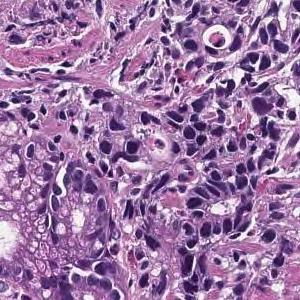
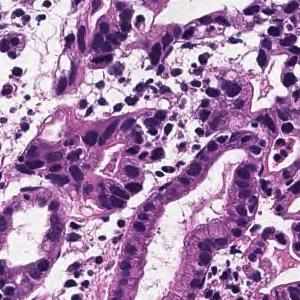
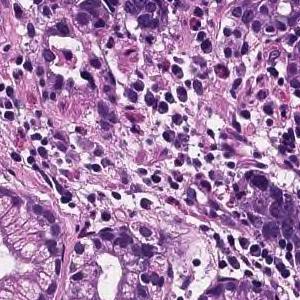
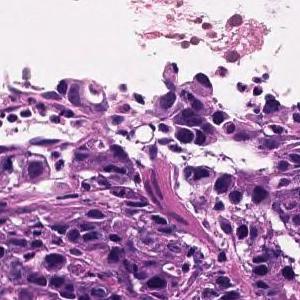
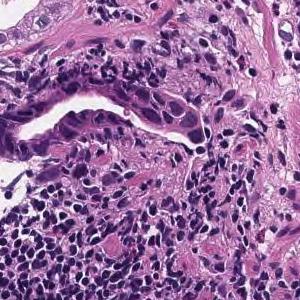
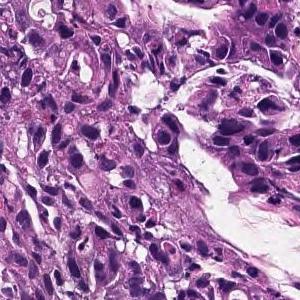
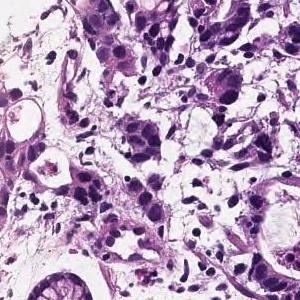
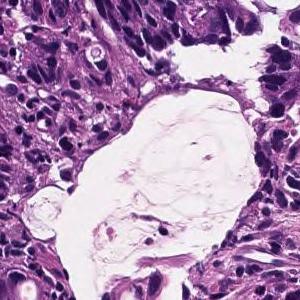
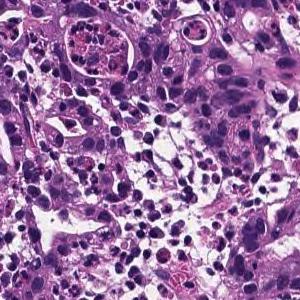
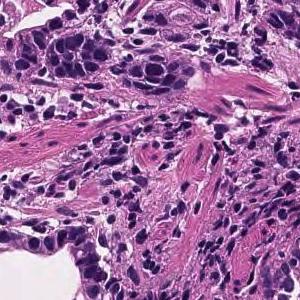
H&E; 10 tiles cut from one stomach biopsy slide.
The pathologist's report on the biopsy slide these tiles were taken from. The report and the diagnosis cover the entire slide, so not every feature they name need be visible here, and some tissue shown may not be tumor.
In the superficial epithelium, tumor tissue that invades by forming medium-sized to small, irregular ducts is observed. moderately differentiated tubular adenocarcinoma.
